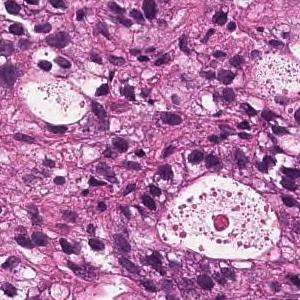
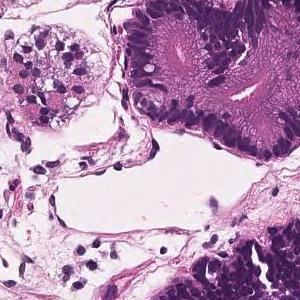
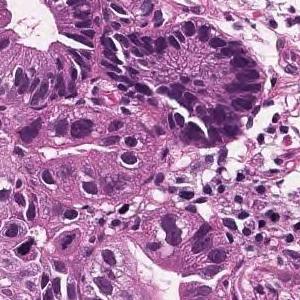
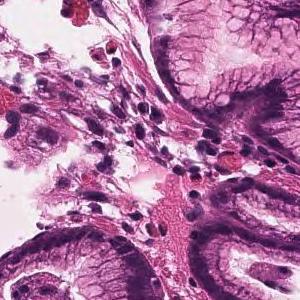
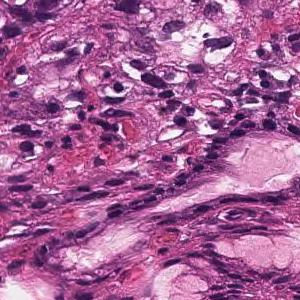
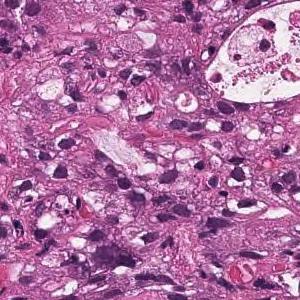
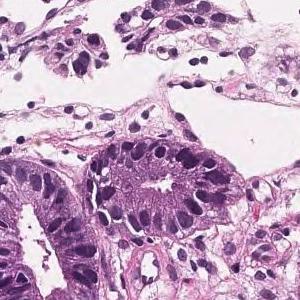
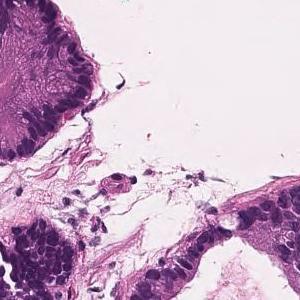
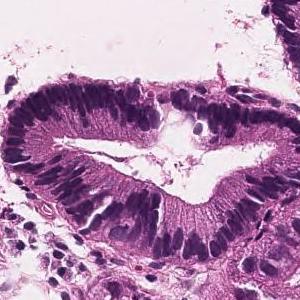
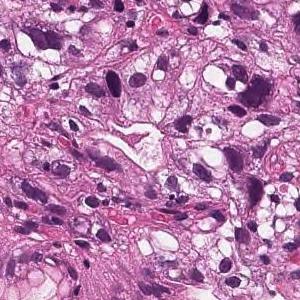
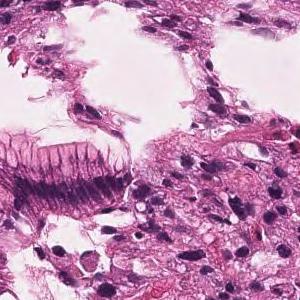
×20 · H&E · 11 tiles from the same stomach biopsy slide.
Diagnostic report for the slide these tiles come from. What the report and the diagnosis say applies to the whole slide; these tiles may miss some of the features named and may include tissue that is not tumor.
Medium to small, irregular glandular ducts are formed in the superficial epithelium, and in some cases, the glandular ducts are fused to show solid alveolar lesions and infiltrating tumor tissue is observed. Moderately to poorly differentiated adenocarcinoma.
